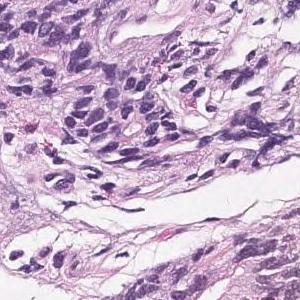
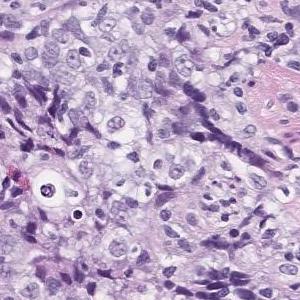
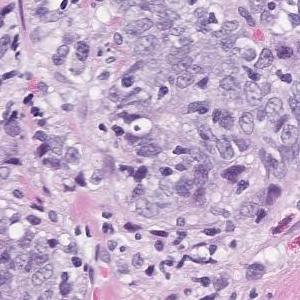
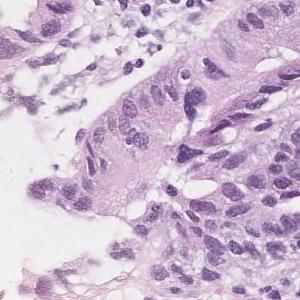
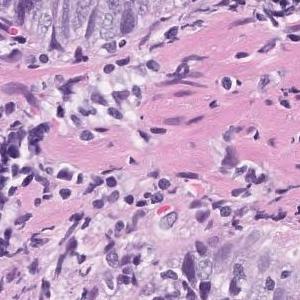
×20; H&E; 5 tiles cut from one stomach biopsy slide.
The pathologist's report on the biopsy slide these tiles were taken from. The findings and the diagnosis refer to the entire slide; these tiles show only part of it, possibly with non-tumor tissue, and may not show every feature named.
Highly columnar epithelium with disordered nuclear localization proliferates showing fusion ductal construction. moderately differentiated tubular adenocarcinoma
